20× magnification · H&E stain · 14 image tiles from a single gastric biopsy slide.
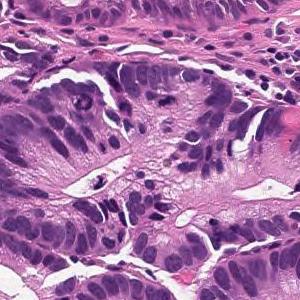
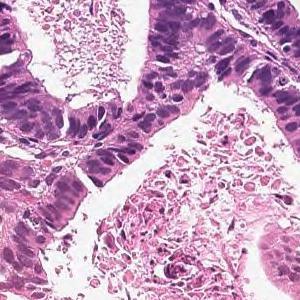
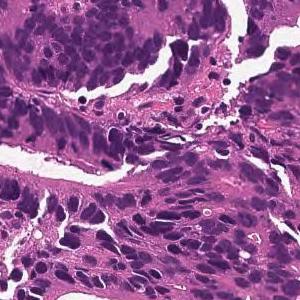
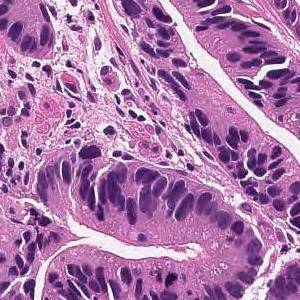
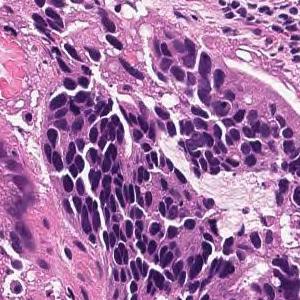
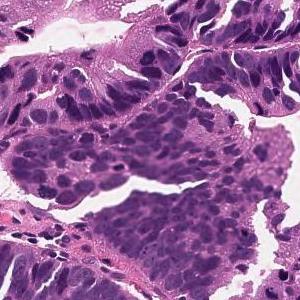
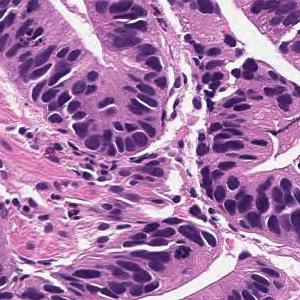
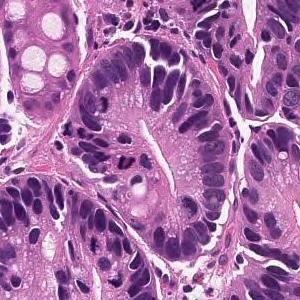
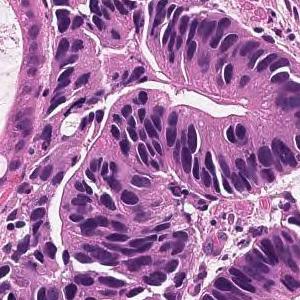
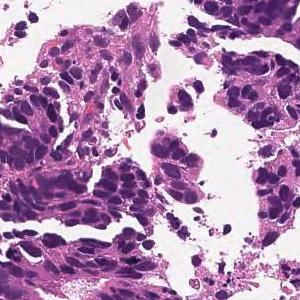
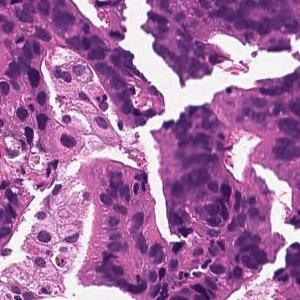
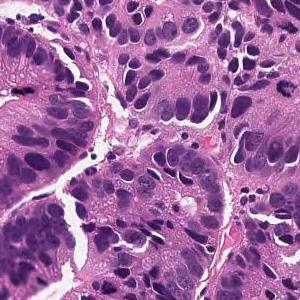
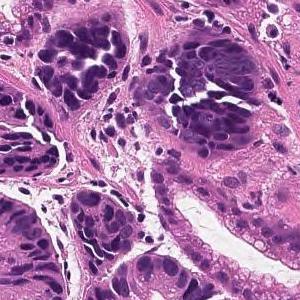
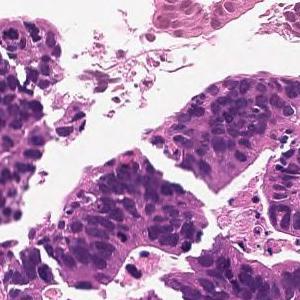
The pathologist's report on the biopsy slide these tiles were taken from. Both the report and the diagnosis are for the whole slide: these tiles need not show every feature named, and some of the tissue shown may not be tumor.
Tumor cells are large, highly columnar, large club-shaped nuclei, and are associated with chromatin aggregation. Papillary adenocarcinoma.
